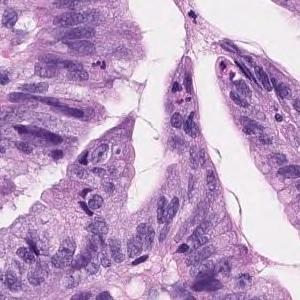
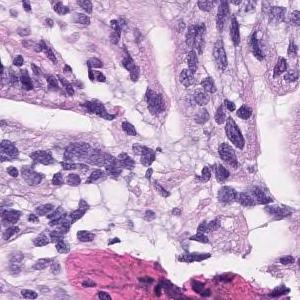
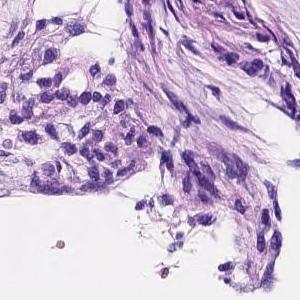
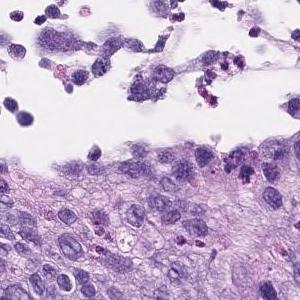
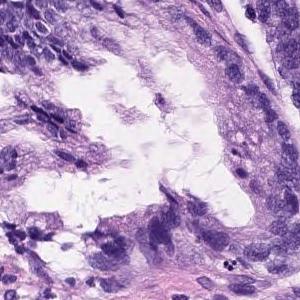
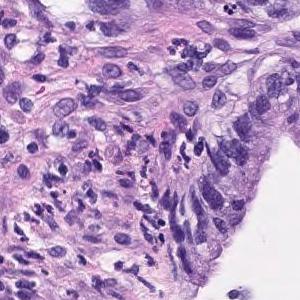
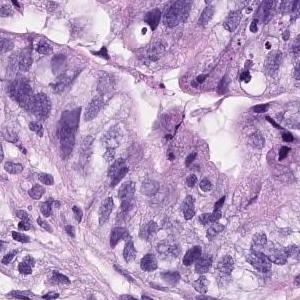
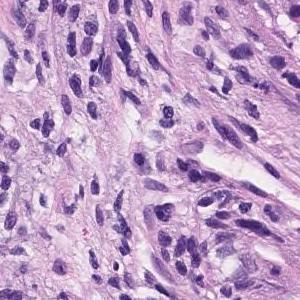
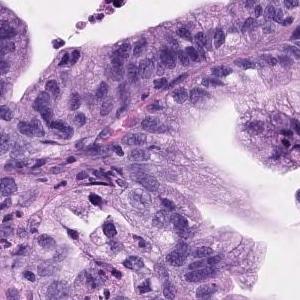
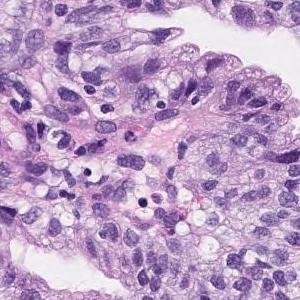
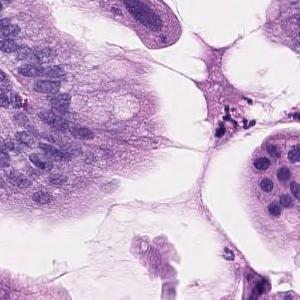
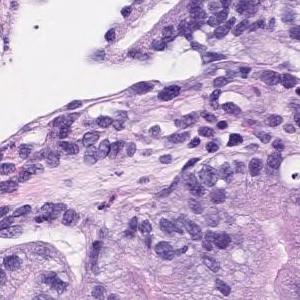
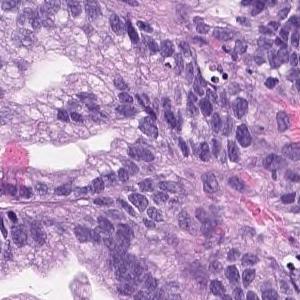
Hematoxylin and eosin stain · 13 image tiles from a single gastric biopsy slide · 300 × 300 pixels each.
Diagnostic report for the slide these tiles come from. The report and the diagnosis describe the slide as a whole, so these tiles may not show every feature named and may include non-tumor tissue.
Tumor cells are large, highly columnar, large club-shaped nuclei, and are associated with chromatin aggregation. Papillary adenocarcinoma.
